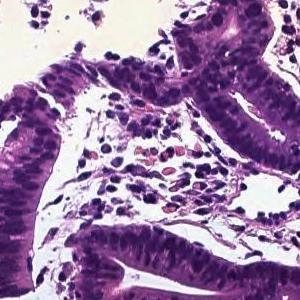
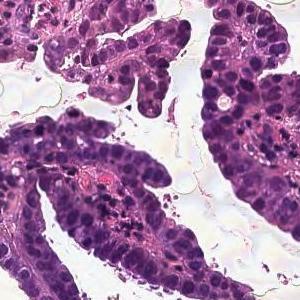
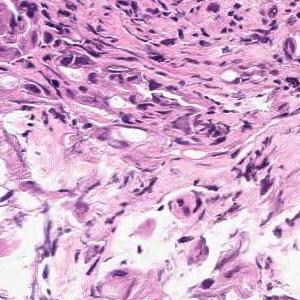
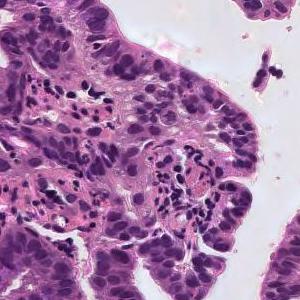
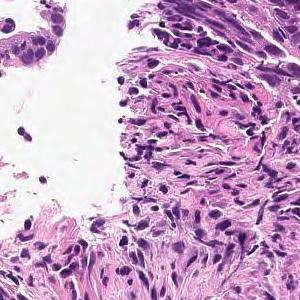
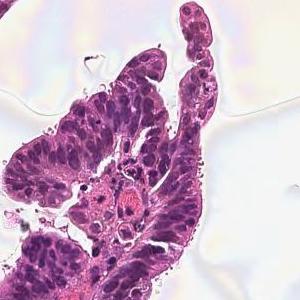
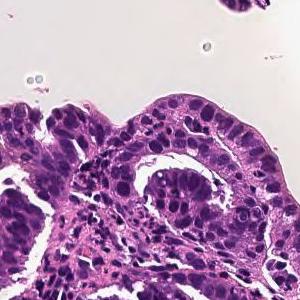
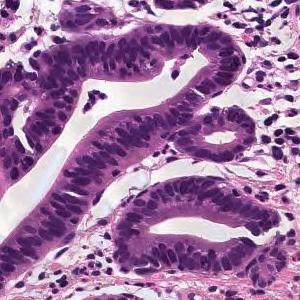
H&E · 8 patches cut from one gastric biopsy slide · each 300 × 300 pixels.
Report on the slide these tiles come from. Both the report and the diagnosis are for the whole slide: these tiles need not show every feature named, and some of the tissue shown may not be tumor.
From the superficial epithelium to the muscularis mucosae, tumor tissue consisting of medium-sized and irregular glandular ducts infiltrating is observed. Well differentiated tubular adenocarcinoma
